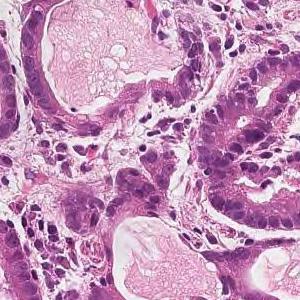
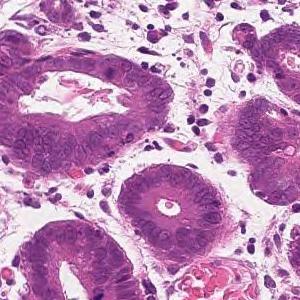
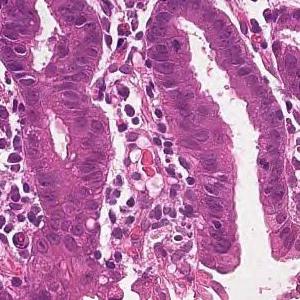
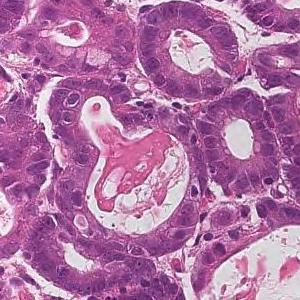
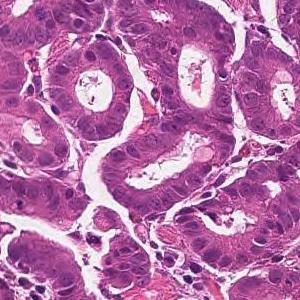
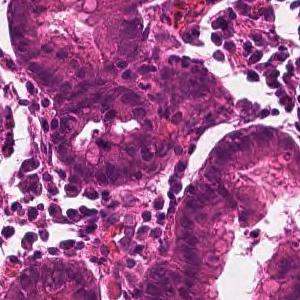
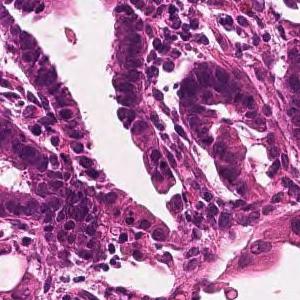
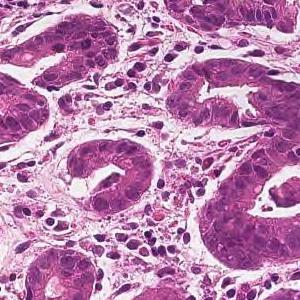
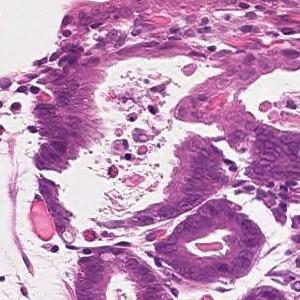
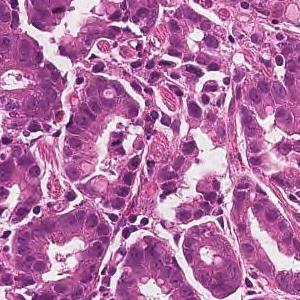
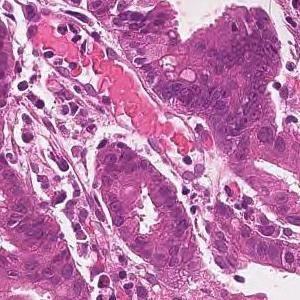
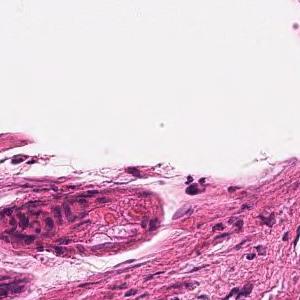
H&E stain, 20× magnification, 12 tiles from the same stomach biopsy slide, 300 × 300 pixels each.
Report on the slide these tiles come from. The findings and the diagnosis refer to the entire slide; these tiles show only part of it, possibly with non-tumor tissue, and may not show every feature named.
From the superficial epithelium to the muscularis mucosae, tumor tissue consisting of medium-sized and irregular glandular ducts infiltrating is observed. Well differentiated tubular adenocarcinoma
